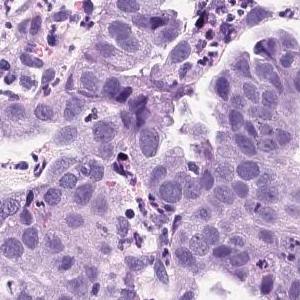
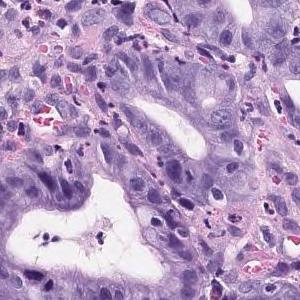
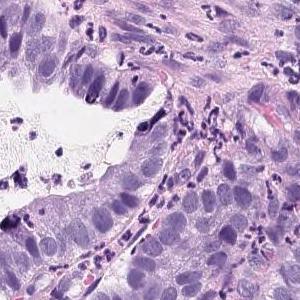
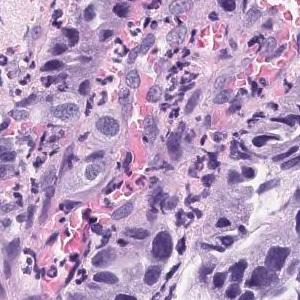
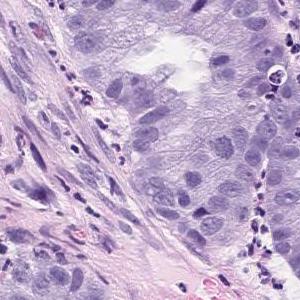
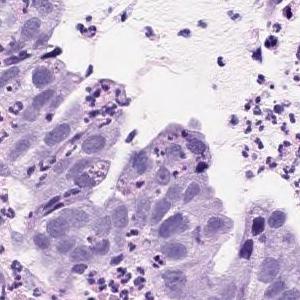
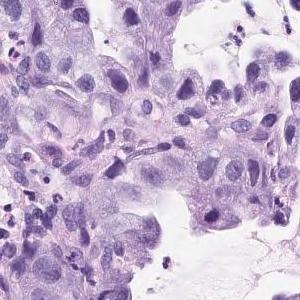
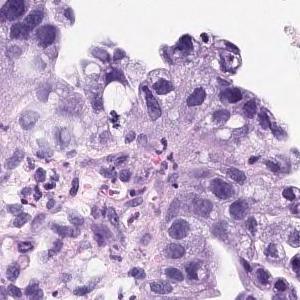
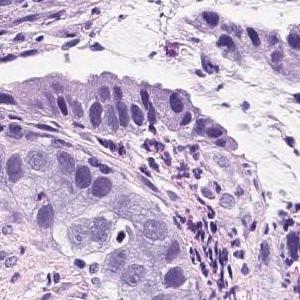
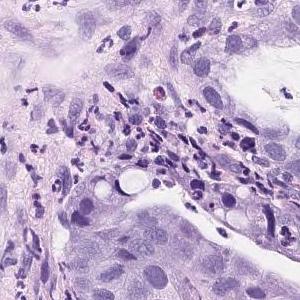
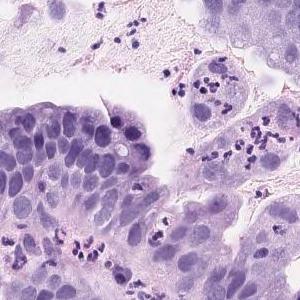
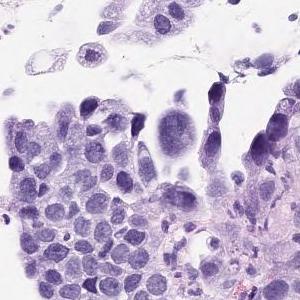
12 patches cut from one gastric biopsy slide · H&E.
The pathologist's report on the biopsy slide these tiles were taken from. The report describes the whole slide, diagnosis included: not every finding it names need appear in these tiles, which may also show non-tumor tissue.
Atypical l cells with atypical nuclei forming solid or diffuse vesicles or small irregular atypical ducts and growing in a complex manner. Well differentiated tubular adenocarcinoma
